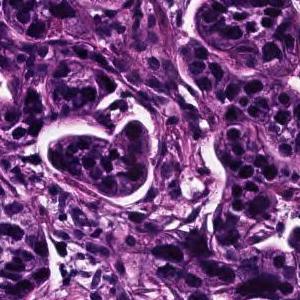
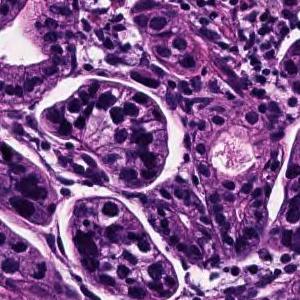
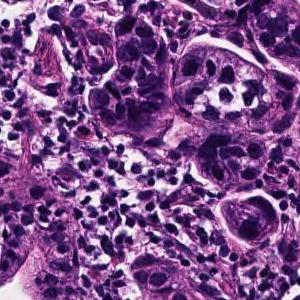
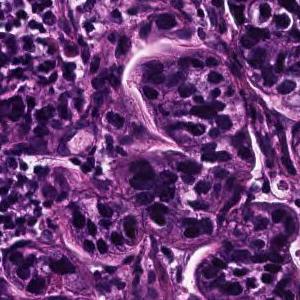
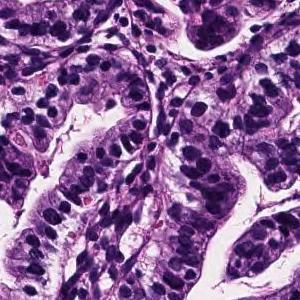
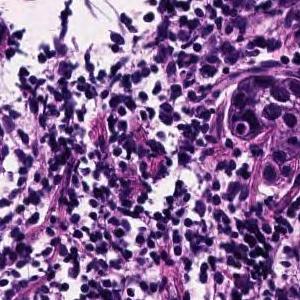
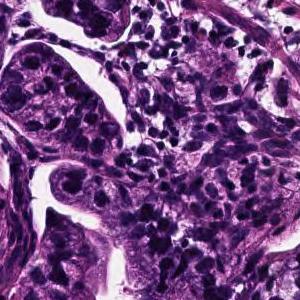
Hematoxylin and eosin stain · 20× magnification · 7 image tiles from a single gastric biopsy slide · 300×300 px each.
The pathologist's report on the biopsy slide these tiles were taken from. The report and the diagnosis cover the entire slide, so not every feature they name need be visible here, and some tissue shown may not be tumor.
Tumor tissue consisting of cord-like or small, irregular glandular ducts fused and infiltrated is observed in the superficial epithelium. Poorly differentiated adenocarcinoma, non-solid type
"Non-solid type" is a category of the Japanese Classification of Gastric Carcinoma.
